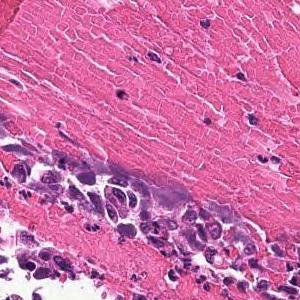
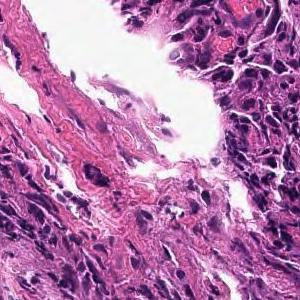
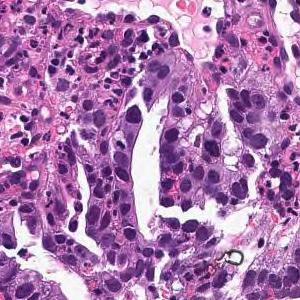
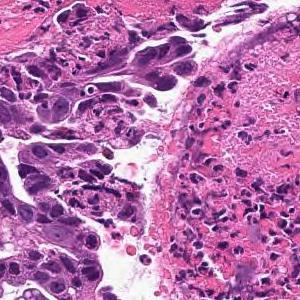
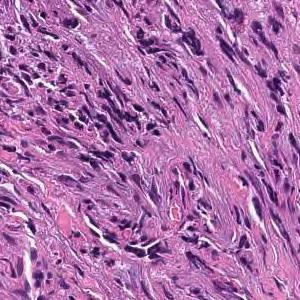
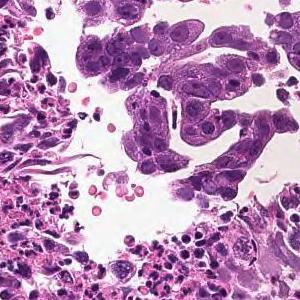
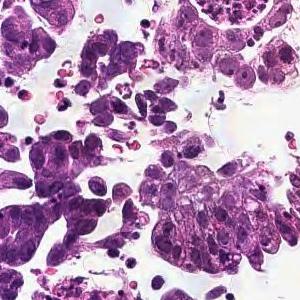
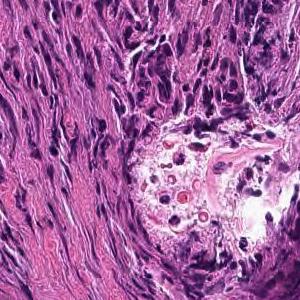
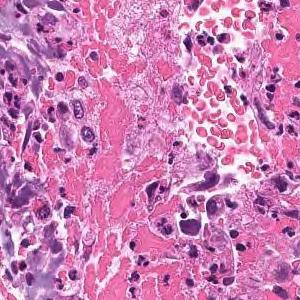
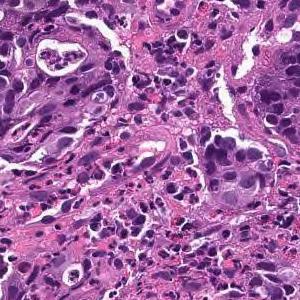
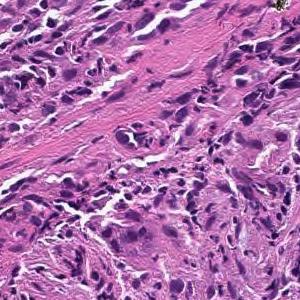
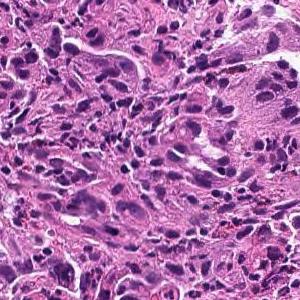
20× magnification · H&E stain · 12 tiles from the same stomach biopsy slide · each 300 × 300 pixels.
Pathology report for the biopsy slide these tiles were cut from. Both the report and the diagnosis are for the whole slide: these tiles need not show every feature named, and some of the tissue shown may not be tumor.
In the superficial epithelium, tumor tissue that invades by forming medium-sized to small, irregular ducts is observed. moderately differentiated tubular adenocarcinoma.
